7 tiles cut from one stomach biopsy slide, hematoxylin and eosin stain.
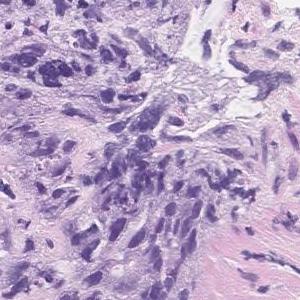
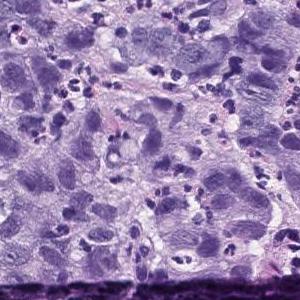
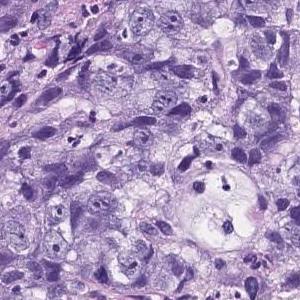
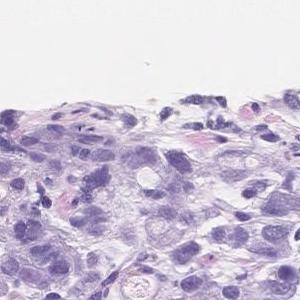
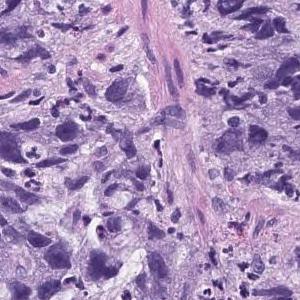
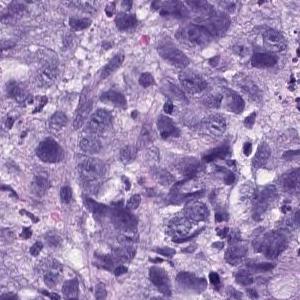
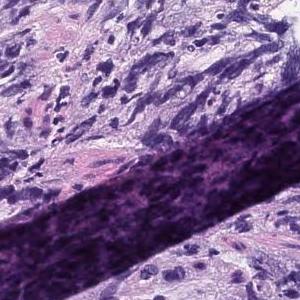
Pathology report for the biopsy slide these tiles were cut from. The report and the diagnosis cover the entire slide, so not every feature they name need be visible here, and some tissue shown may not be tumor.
Atypical l cells with atypical nuclei forming solid vesicles or small irregular atypical ducts that proliferate in a complex manner. poorly differentiated adenocarcinoma, solid type, moderately differentiated tubular adenocarcinoma
"Solid type" is a category of the Japanese Classification of Gastric Carcinoma; in the WHO 2019 classification it is tubular adenocarcinoma, poorly differentiated.
